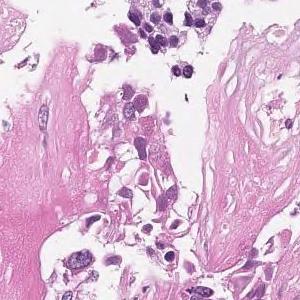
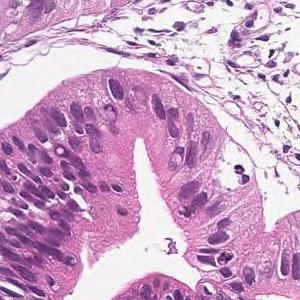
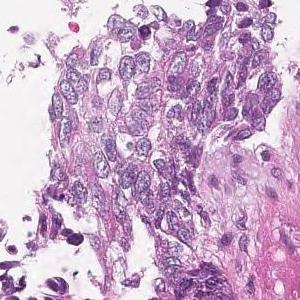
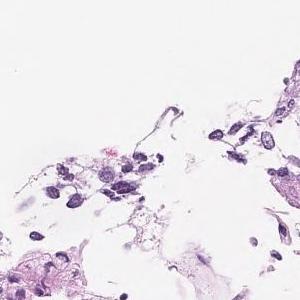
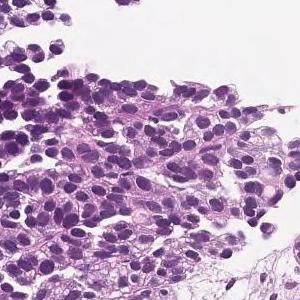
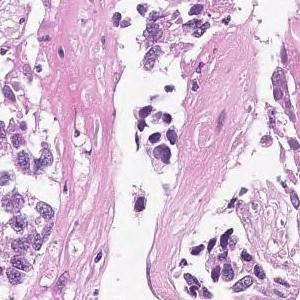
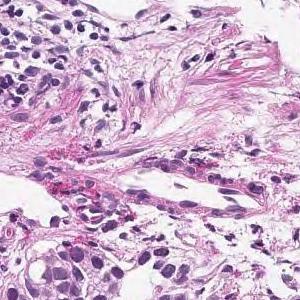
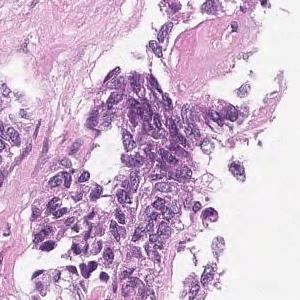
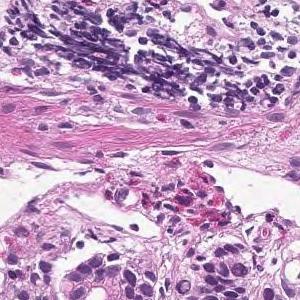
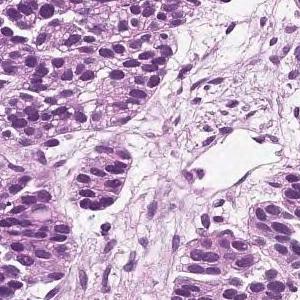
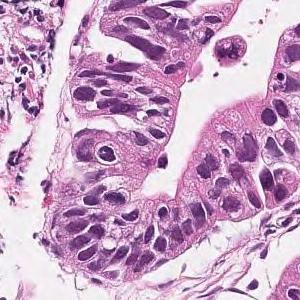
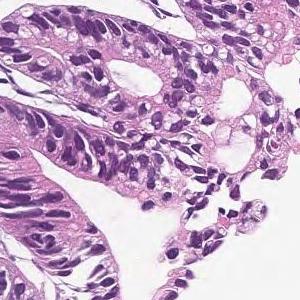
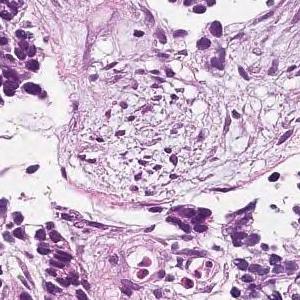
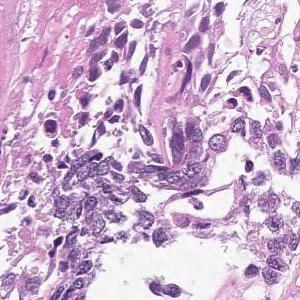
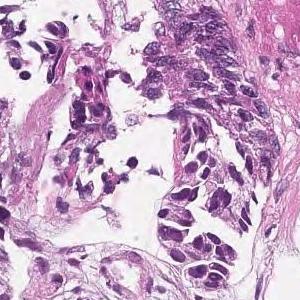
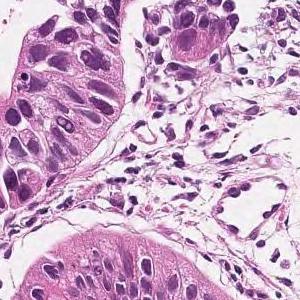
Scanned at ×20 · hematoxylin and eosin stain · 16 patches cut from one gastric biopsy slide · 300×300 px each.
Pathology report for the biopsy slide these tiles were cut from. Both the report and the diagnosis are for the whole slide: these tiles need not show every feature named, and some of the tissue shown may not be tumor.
Medium to small, irregular glandular ducts are formed in the superficial epithelium, and in some cases, the glandular ducts are fused to show solid alveolar lesions and infiltrating tumor tissue is observed. Moderately to poorly differentiated adenocarcinoma.
